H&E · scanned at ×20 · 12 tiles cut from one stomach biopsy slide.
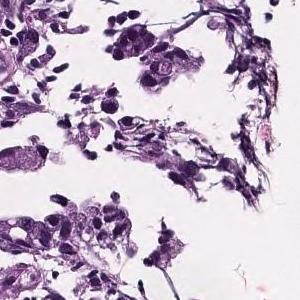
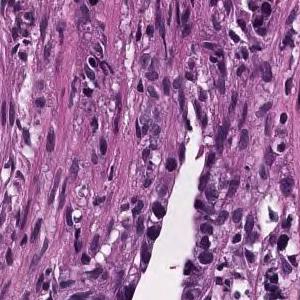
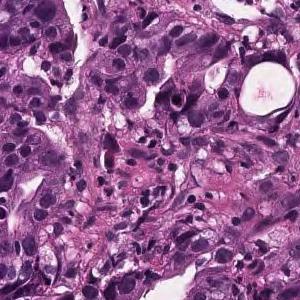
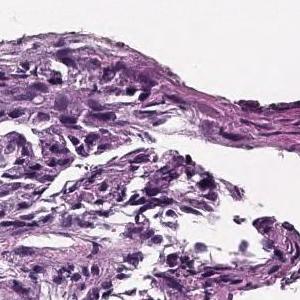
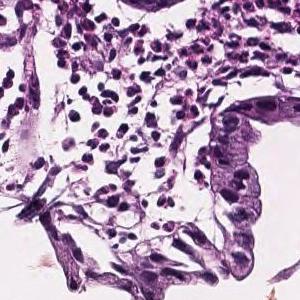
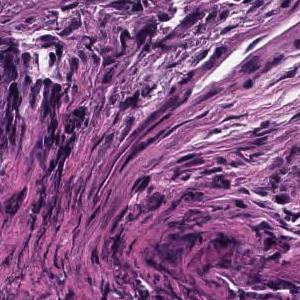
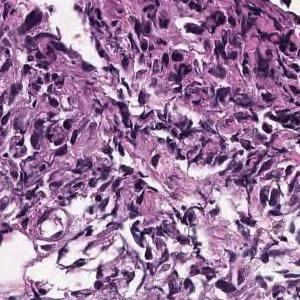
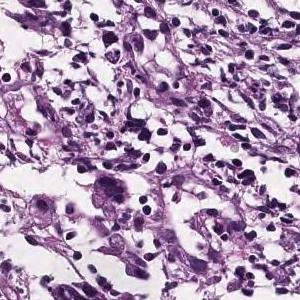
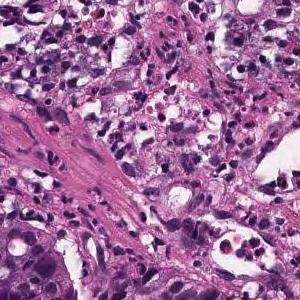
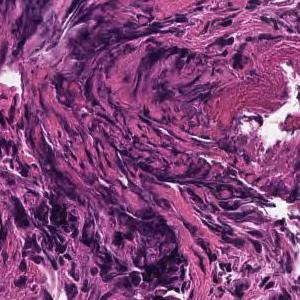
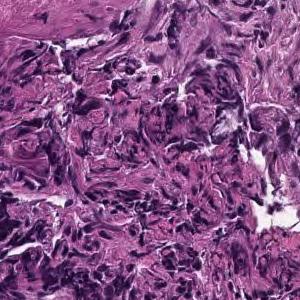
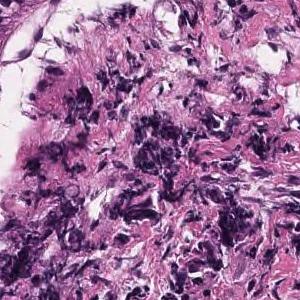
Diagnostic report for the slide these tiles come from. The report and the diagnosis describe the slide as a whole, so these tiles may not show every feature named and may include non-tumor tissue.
In the superficial epithelium, tumor tissue that invades by forming medium-sized to small, irregular ducts is observed. moderately differentiated tubular adenocarcinoma.
